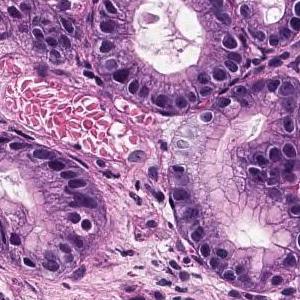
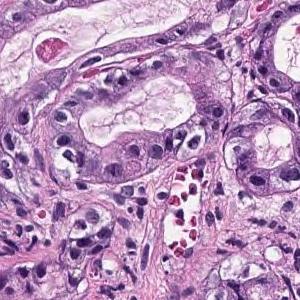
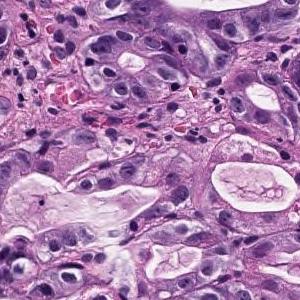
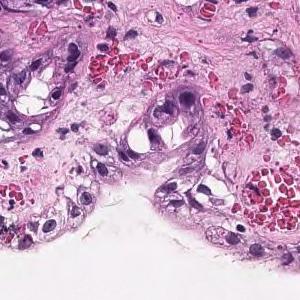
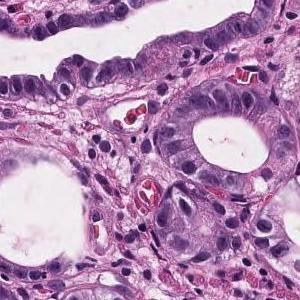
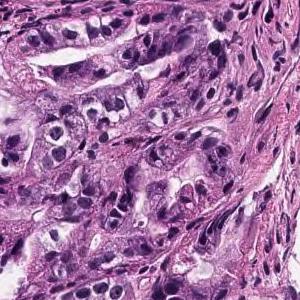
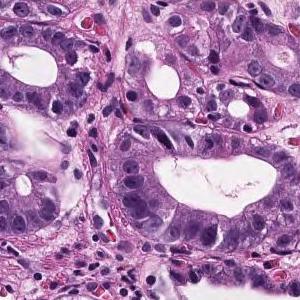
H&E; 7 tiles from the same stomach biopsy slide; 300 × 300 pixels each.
Pathology report for the biopsy slide these tiles were cut from. The report describes the whole slide, diagnosis included: not every finding it names need appear in these tiles, which may also show non-tumor tissue.
On the superficial epithelium, tumor tissue that infiltrates by forming medium-sized round or small irregular ducts is observed. Papillary adenocarcinoma
